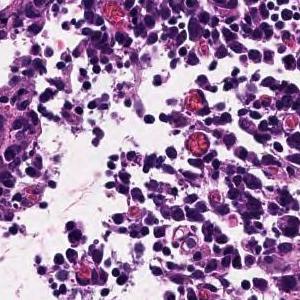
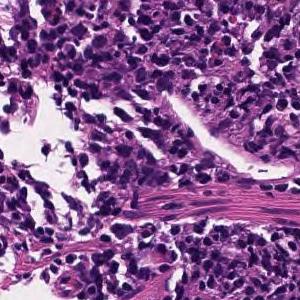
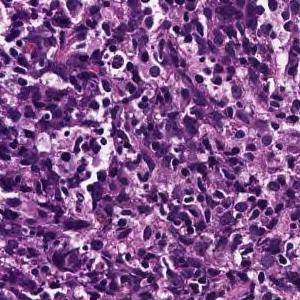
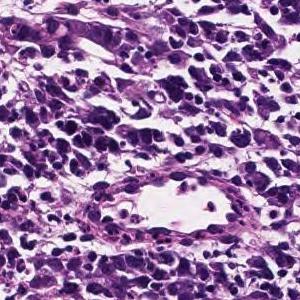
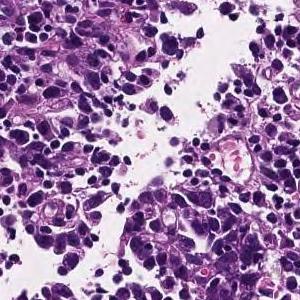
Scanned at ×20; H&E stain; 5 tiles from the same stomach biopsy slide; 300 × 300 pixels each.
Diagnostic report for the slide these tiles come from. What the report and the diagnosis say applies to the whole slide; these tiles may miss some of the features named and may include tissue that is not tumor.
Tumor tissue consisting of cord-like or small, irregular glandular ducts fused and infiltrated is observed in the superficial epithelium. Poorly differentiated adenocarcinoma, non-solid type
The term "non-solid type" comes from the Japanese Classification of Gastric Carcinoma.
